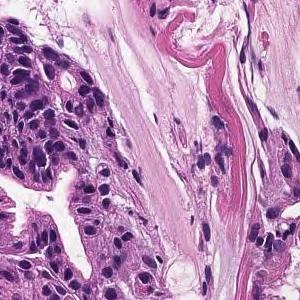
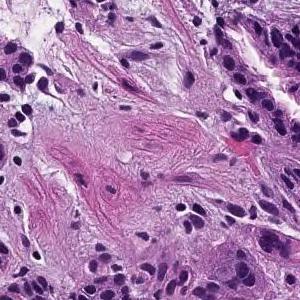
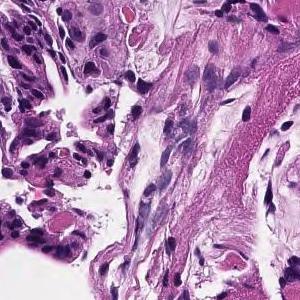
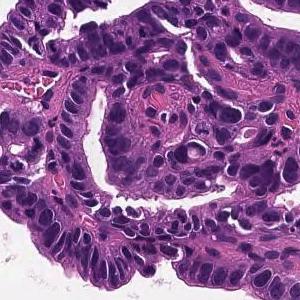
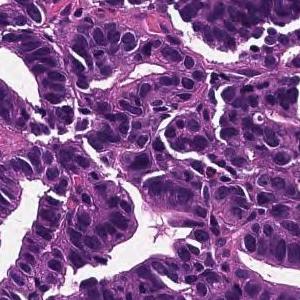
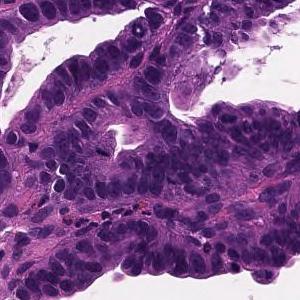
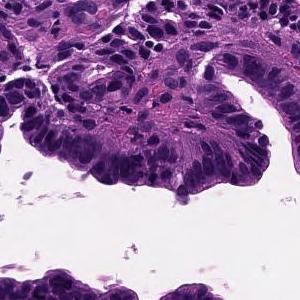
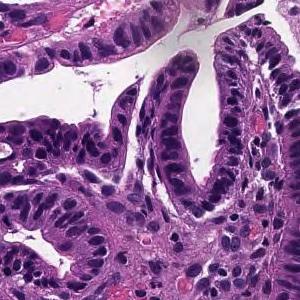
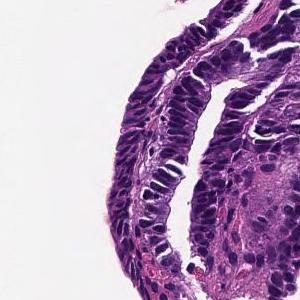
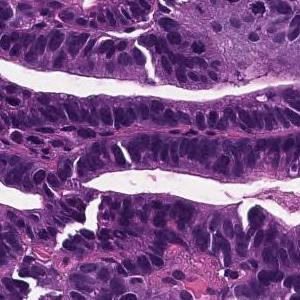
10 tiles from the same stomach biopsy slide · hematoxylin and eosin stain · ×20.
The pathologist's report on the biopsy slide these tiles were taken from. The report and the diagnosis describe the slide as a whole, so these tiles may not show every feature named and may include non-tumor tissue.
Tumor tissue consisting of large papillary structures is found in the superficial epithelium. Papillary adenocarcinoma.
